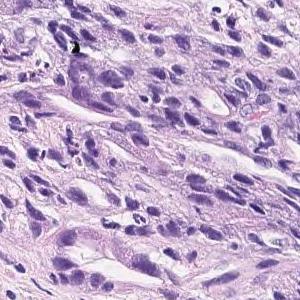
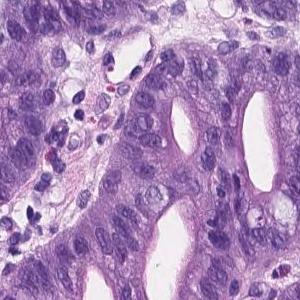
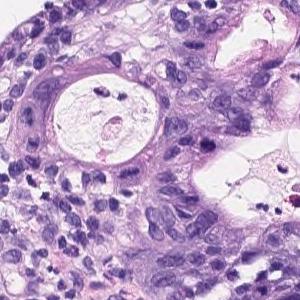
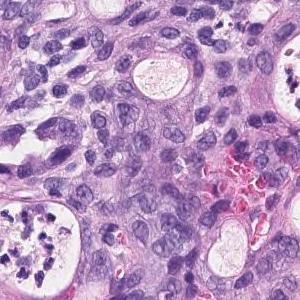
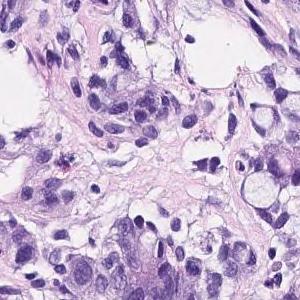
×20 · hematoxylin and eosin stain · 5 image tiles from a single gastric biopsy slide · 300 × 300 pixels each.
Pathology report for the slide these tiles were cut from. What the report and the diagnosis say applies to the whole slide; these tiles may miss some of the features named and may include tissue that is not tumor.
Irregularly fused atypical ducts proliferating while replacing existing ducts was observed. moderately differentiated tubular adenocarcinoma
